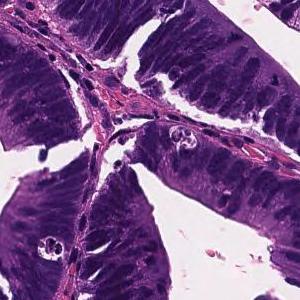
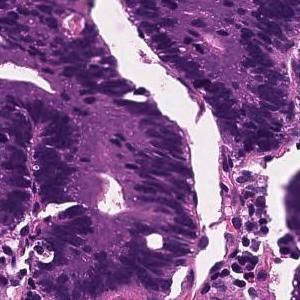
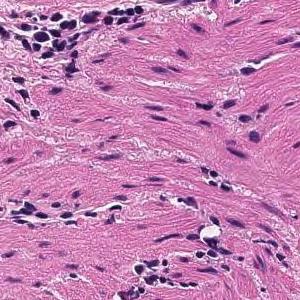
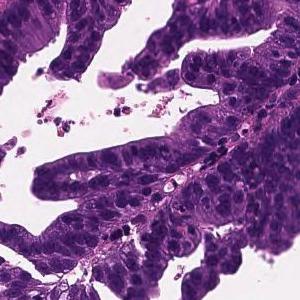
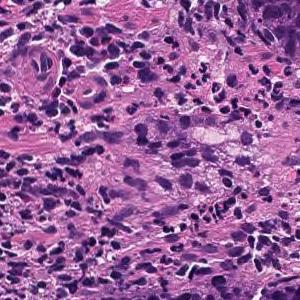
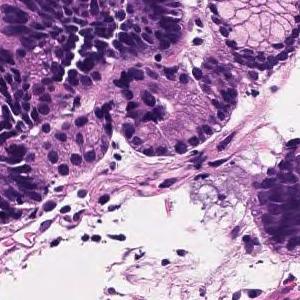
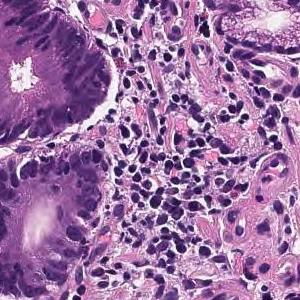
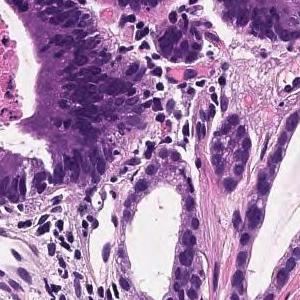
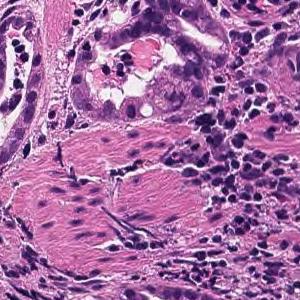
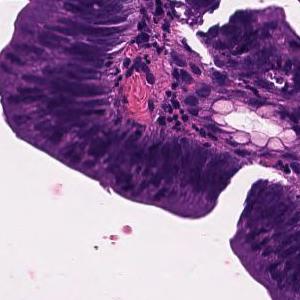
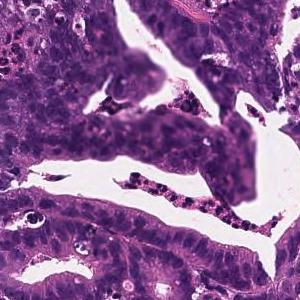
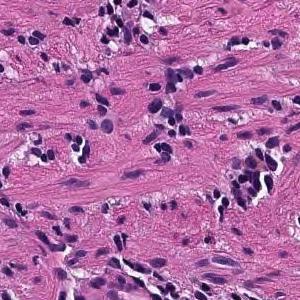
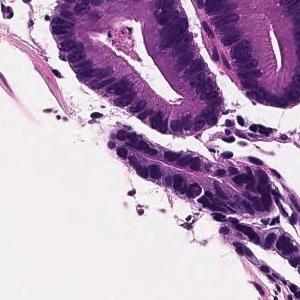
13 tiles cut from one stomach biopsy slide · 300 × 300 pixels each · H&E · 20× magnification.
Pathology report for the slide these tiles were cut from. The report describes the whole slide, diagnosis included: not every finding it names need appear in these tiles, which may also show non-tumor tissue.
Tumor tissue consisting of large papillary structures is found in the superficial epithelium. Papillary adenocarcinoma.
